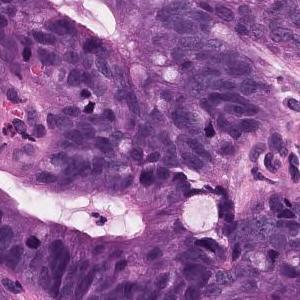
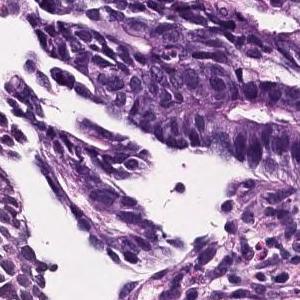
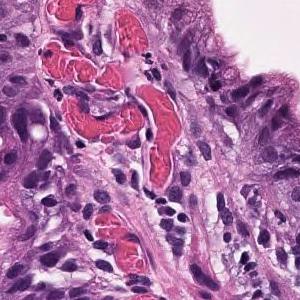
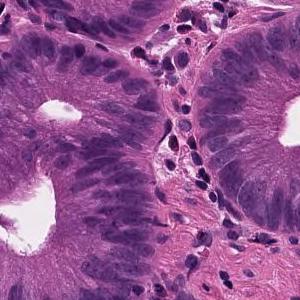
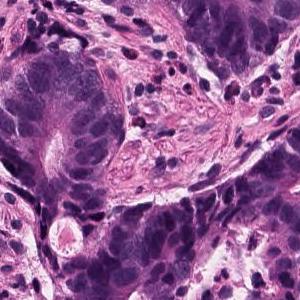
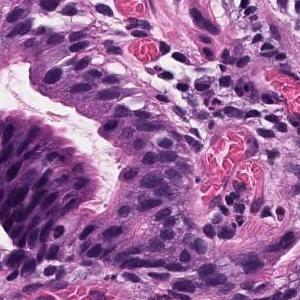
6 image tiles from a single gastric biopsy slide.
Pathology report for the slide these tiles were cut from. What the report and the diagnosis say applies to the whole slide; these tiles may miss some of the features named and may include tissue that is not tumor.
Atypical ducts proliferating while irregularly fusing in the lateral direction is observed. Well differentiated tubular adenocarcinoma
